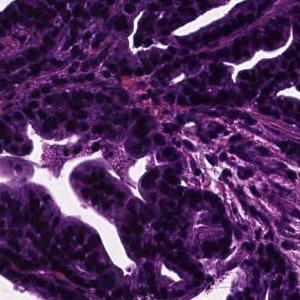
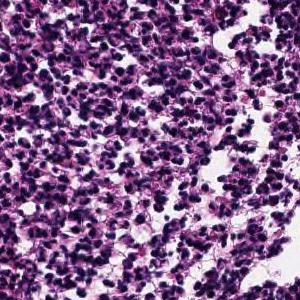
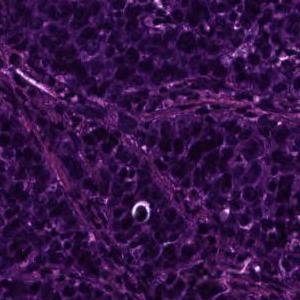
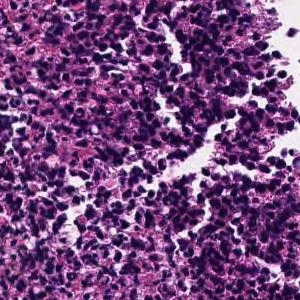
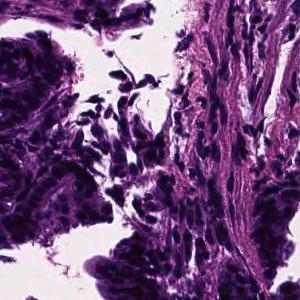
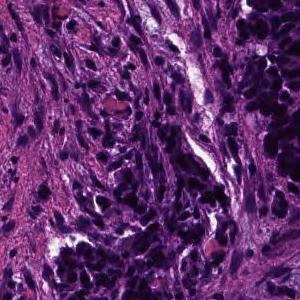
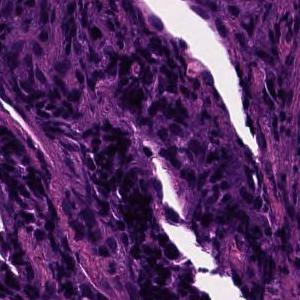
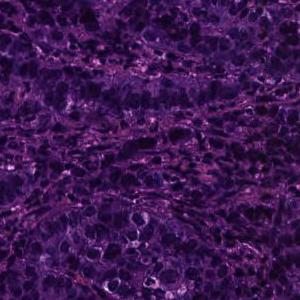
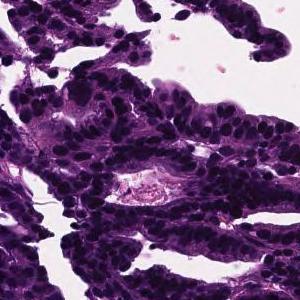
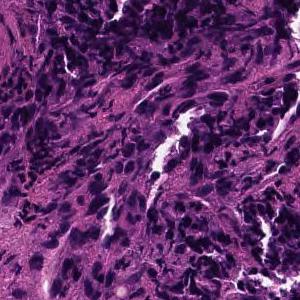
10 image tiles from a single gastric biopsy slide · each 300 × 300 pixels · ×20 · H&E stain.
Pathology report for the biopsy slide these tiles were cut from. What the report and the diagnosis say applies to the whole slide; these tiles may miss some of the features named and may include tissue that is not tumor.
In the superficial epithelium, tumor tissue that invades by forming medium-sized to small, irregular ducts is observed. moderately differentiated tubular adenocarcinoma.
